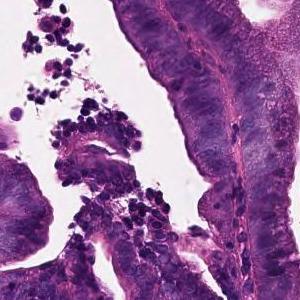
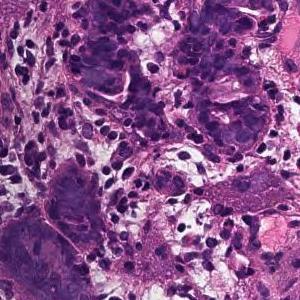
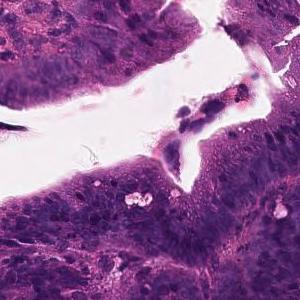
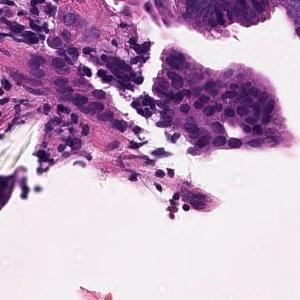
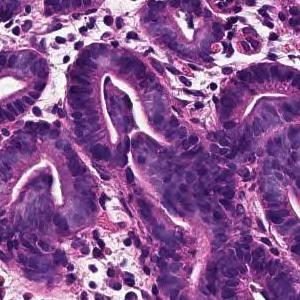
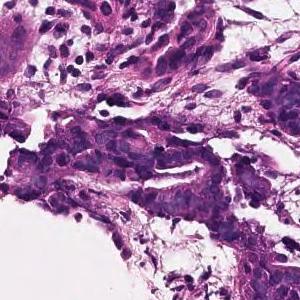
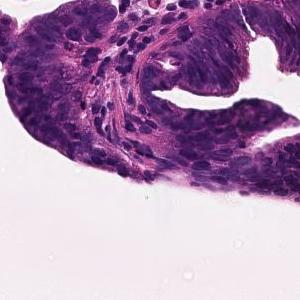
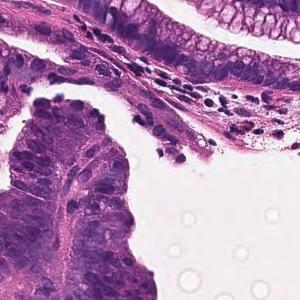
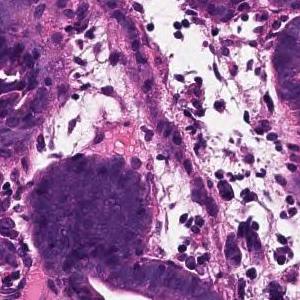
9 tiles from the same stomach biopsy slide · 300 × 300 pixels each · H&E · ×20.
Report on the slide these tiles come from. The report describes the whole slide, diagnosis included: not every finding it names need appear in these tiles, which may also show non-tumor tissue.
Tumor cells are large, highly columnar, large club-shaped nuclei, and are associated with chromatin aggregation. Papillary adenocarcinoma.
